H&E stain; scanned at ×20; 13 tiles cut from one stomach biopsy slide; each 300 × 300 pixels.
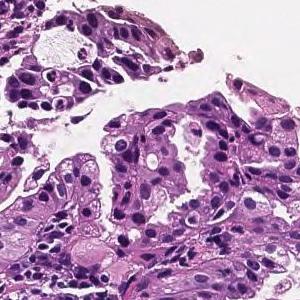
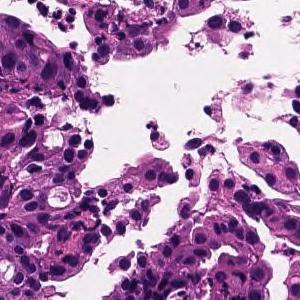
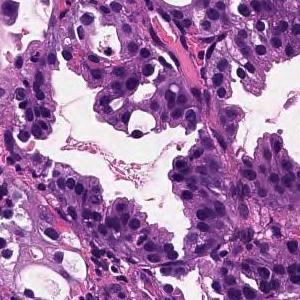
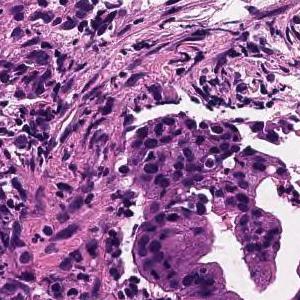
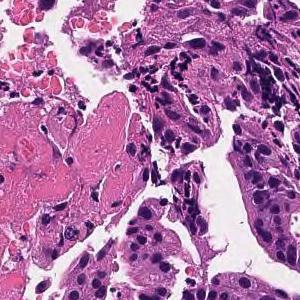
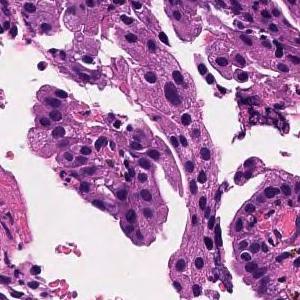
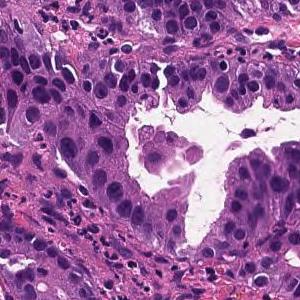
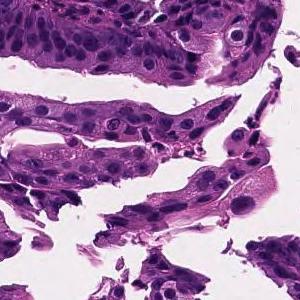
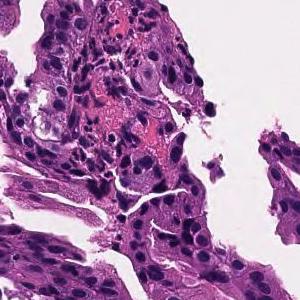
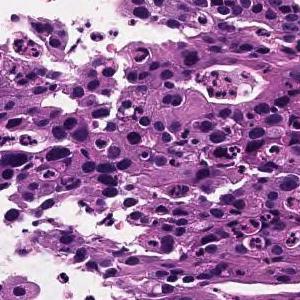
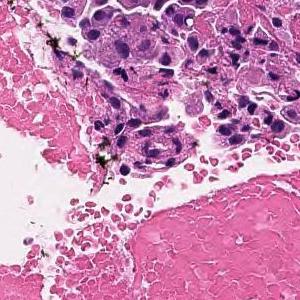
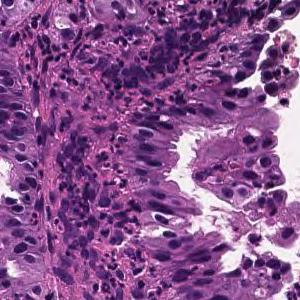
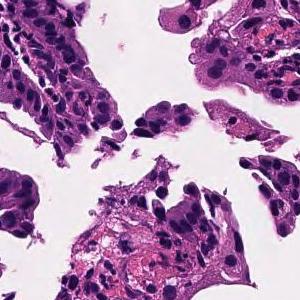
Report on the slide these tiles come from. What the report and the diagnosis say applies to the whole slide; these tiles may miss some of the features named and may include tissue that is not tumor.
On the superficial epithelium, tumor tissue consisting of large, irregular glandular ducts partially fused and infiltrated is observed. Well to moderately differentiated tubular adenocarcinoma (well differentiated tubular adenocarcinoma, moderately differentiated tubular adenocarcinoma)
Classified as well to moderately differentiated tubular adenocarcinoma.
